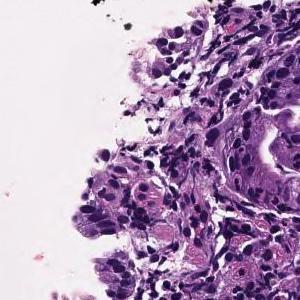
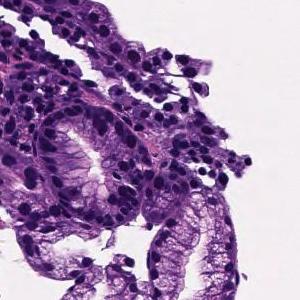
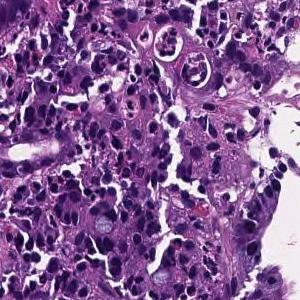
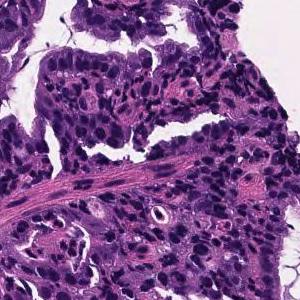
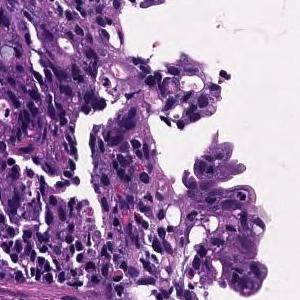
H&E · ×20 · 5 tiles cut from one stomach biopsy slide · 300 × 300 pixels each.
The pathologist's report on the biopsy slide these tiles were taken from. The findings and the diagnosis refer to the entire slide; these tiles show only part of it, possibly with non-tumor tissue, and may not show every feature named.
Medium to small, irregular glandular ducts are formed in the superficial epithelium, and in some cases, the glandular ducts are fused to show solid alveolar lesions and infiltrating tumor tissue is observed. Moderately to poorly differentiated adenocarcinoma.
